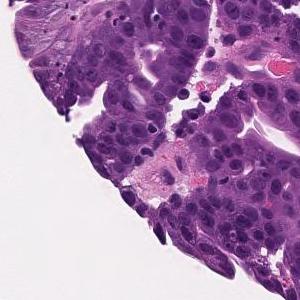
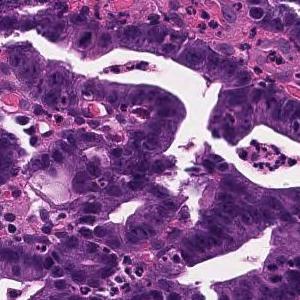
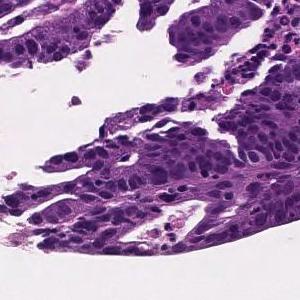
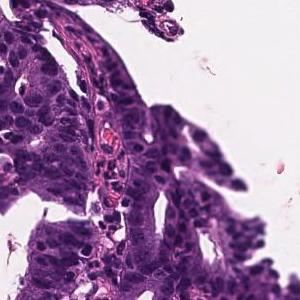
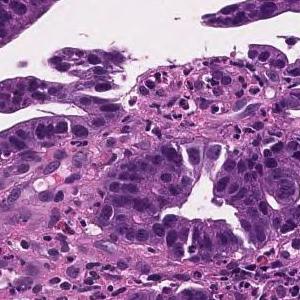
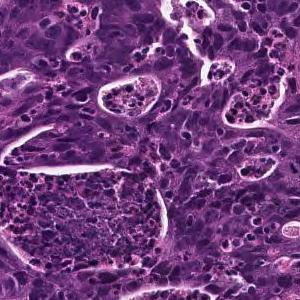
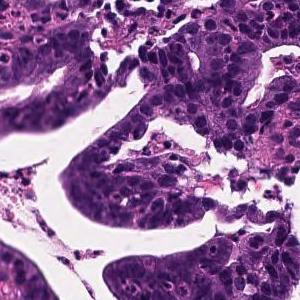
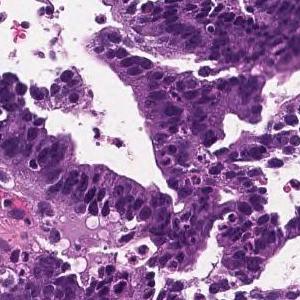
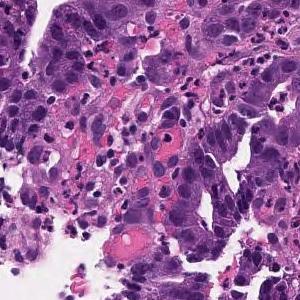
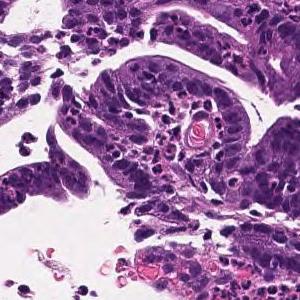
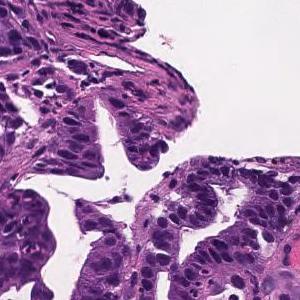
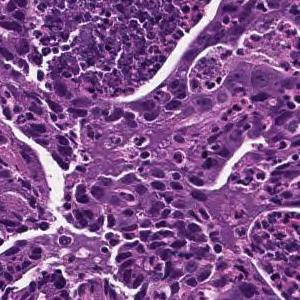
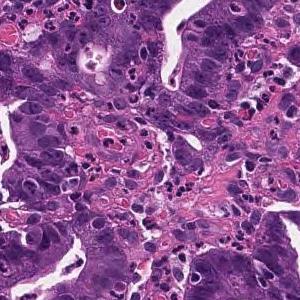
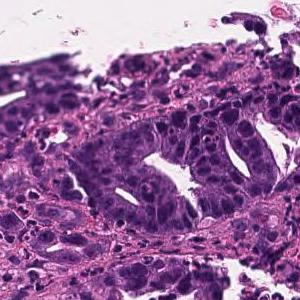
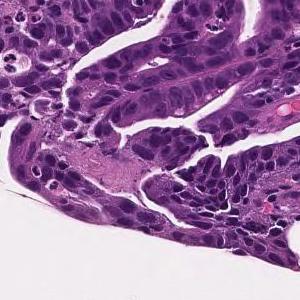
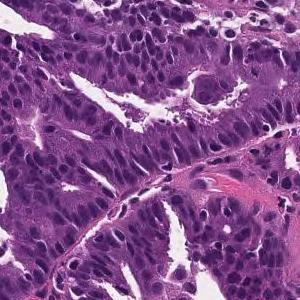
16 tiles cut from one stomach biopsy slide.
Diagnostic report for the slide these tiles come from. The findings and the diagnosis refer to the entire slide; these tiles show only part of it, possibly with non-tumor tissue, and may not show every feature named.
Tumor cells are large, highly columnar, large club-shaped nuclei, and are associated with chromatin aggregation. Papillary adenocarcinoma.
